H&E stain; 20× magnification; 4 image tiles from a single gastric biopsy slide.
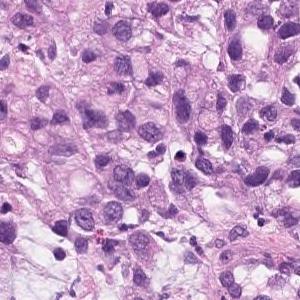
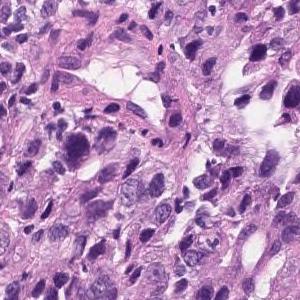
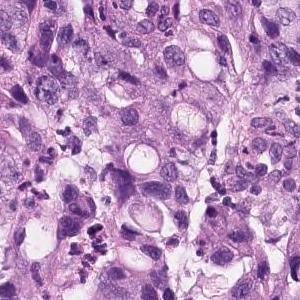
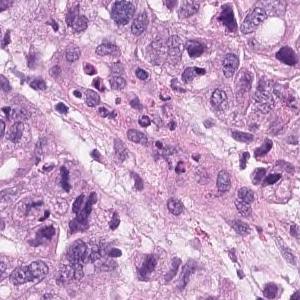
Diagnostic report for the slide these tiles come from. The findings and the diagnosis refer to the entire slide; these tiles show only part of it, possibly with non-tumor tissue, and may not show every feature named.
Group 5, Adenocarcinoma. Poorly differentiated adenocarcinoma, non-solid type
The non-solid type named here is a Japanese Classification of Gastric Carcinoma category.
